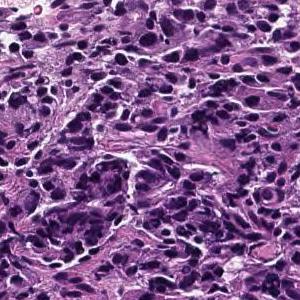
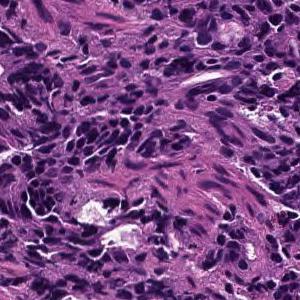
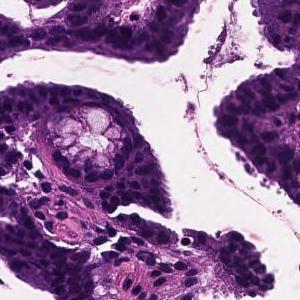
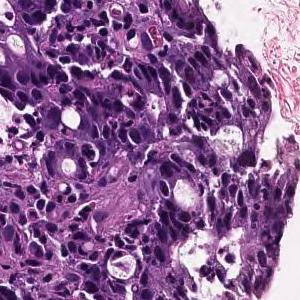
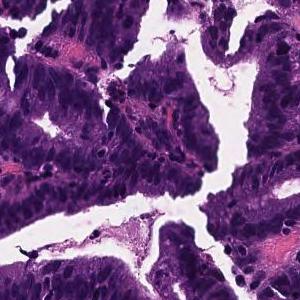
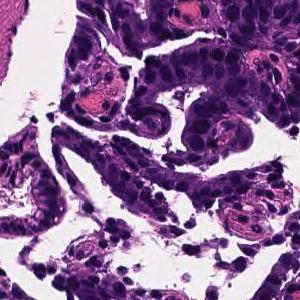
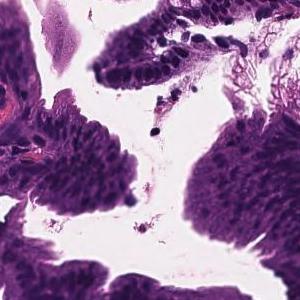
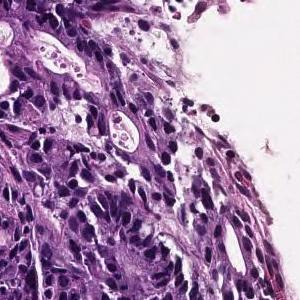
8 patches cut from one gastric biopsy slide, 300 × 300 pixels each, H&E stain, ×20.
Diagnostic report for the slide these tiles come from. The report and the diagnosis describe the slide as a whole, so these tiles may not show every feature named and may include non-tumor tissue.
In the superficial epithelium, tumor tissue that invades by forming medium-sized to small, irregular ducts is observed. moderately differentiated tubular adenocarcinoma.
